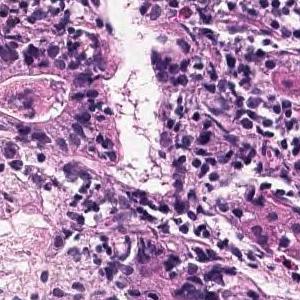
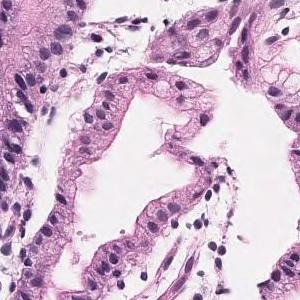
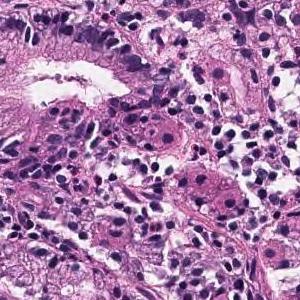
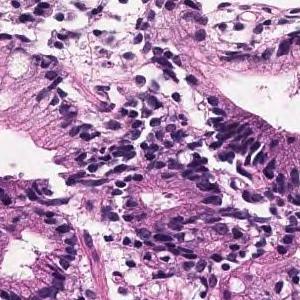
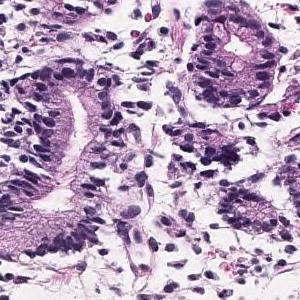
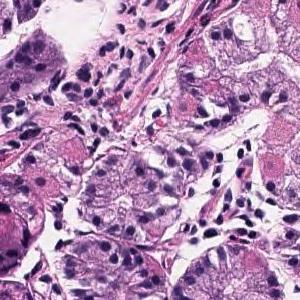
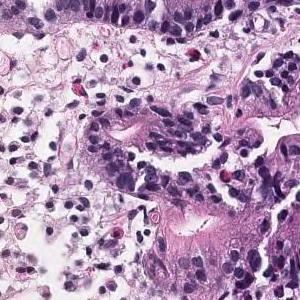
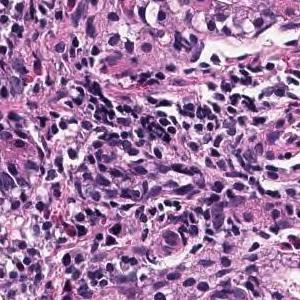
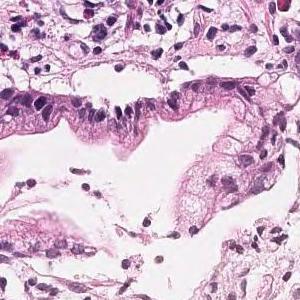
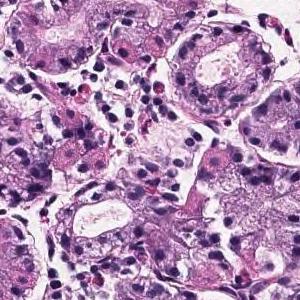
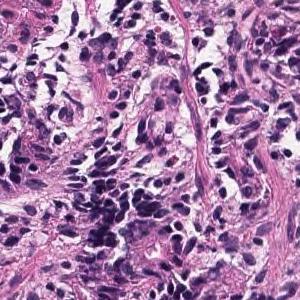
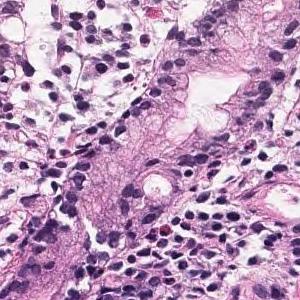
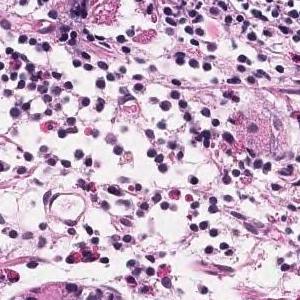
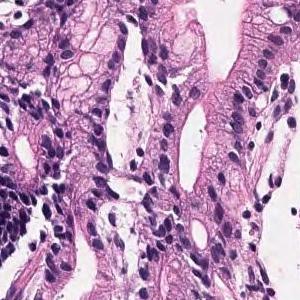
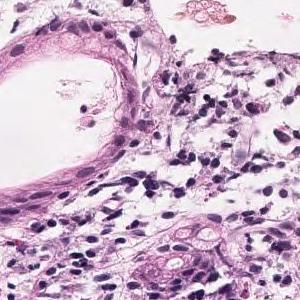
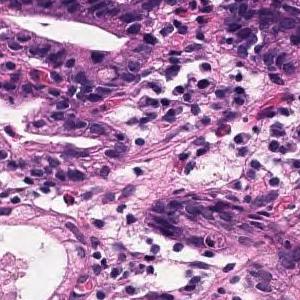
16 image tiles from a single gastric biopsy slide, each 300 × 300 pixels, 20× magnification.
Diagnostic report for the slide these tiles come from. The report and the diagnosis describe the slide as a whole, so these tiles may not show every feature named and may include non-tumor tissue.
Tumor tissue that grows and grows is observed, showing a medium-sized round or irregular duct. moderately differentiated tubular adenocarcinoma
